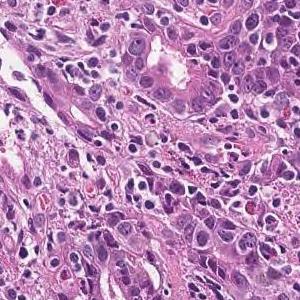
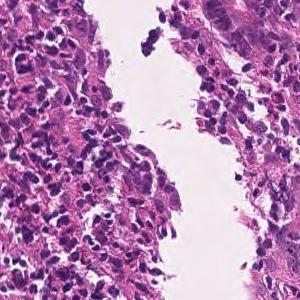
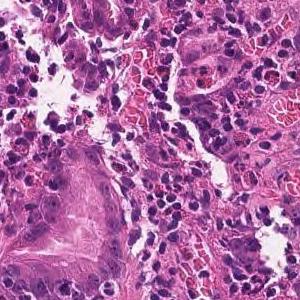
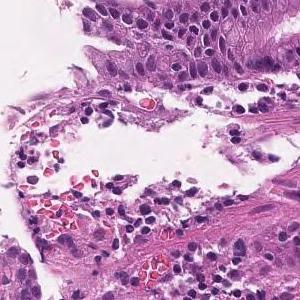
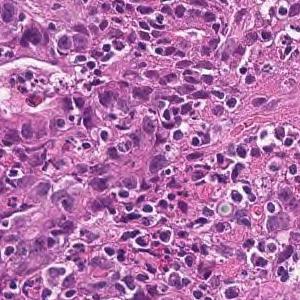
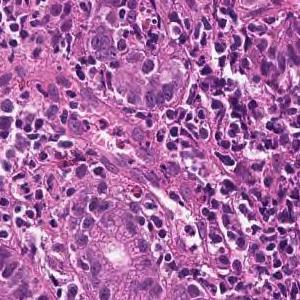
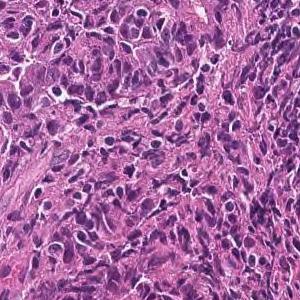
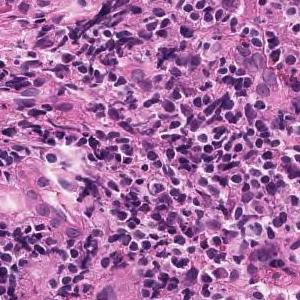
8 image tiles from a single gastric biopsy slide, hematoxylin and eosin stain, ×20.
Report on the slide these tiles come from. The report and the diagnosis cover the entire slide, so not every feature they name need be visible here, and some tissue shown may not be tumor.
Tumor tissue consisting of medium-sized, cord-like or irregular glandular infiltration is observed in the superficial epithelium. Poorly differentiated adenocarcinoma, non-solid type or moderately differentiated tubular adenocarcinoma
The dataset labels this slide poorly differentiated adenocarcinoma, non-solid type.
The non-solid type named here is a Japanese Classification of Gastric Carcinoma category.
